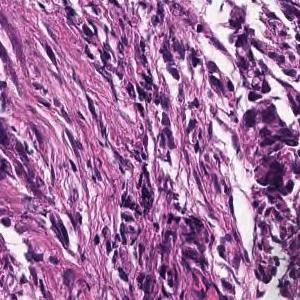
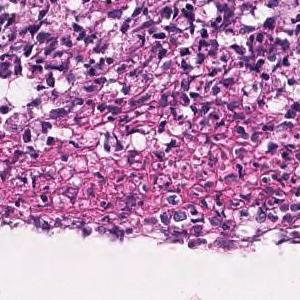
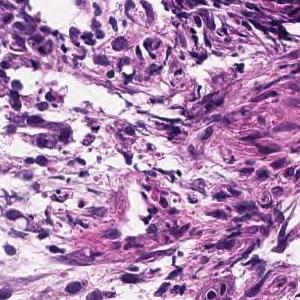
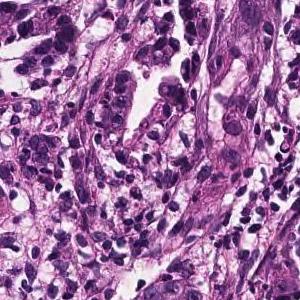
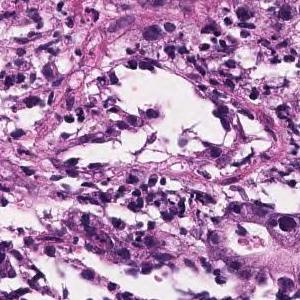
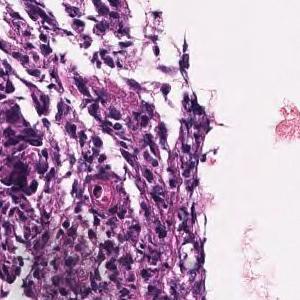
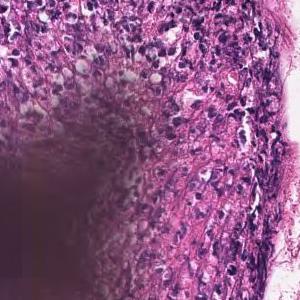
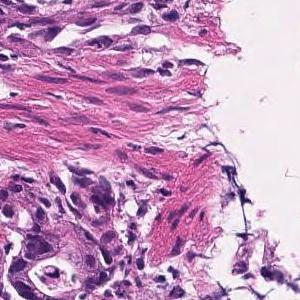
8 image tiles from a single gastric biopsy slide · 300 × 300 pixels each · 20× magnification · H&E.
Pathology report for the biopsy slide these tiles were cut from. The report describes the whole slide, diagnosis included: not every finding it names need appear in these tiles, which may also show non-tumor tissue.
In the superficial epithelium, medium to small, irregular gland ducts are formed, and in some cases, the gland ducts are fused to show solid alveolar lesions and infiltrating tumor tissue is observed. Moderately to poorly differentiated adenocarcinoma.
